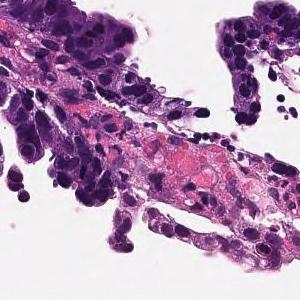
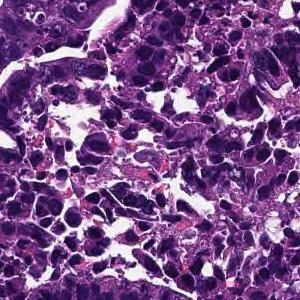
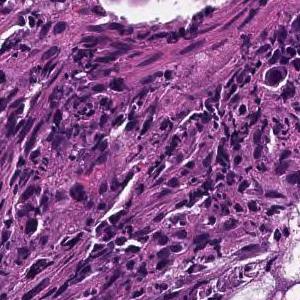
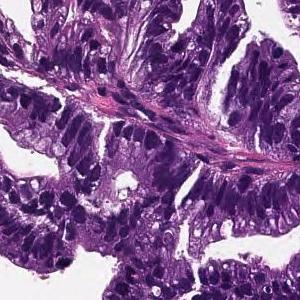
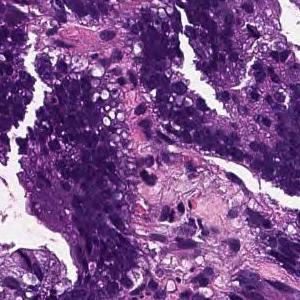
5 patches cut from one gastric biopsy slide · 300×300 px each · H&E stain · ×20.
The pathologist's report on the biopsy slide these tiles were taken from. The findings and the diagnosis refer to the entire slide; these tiles show only part of it, possibly with non-tumor tissue, and may not show every feature named.
Tumor cells are large, highly columnar, large club-shaped nuclei, and are associated with chromatin aggregation. Papillary adenocarcinoma.
